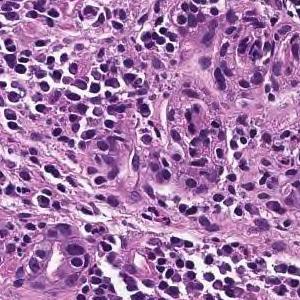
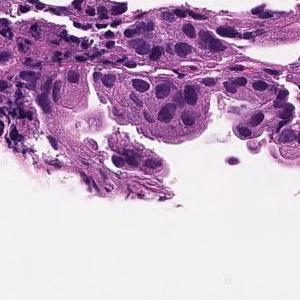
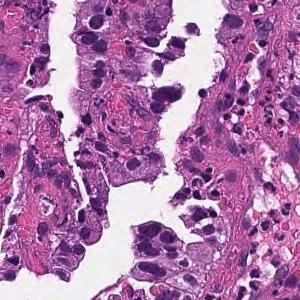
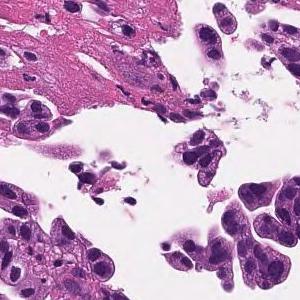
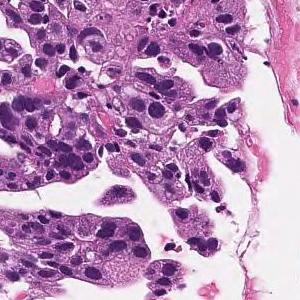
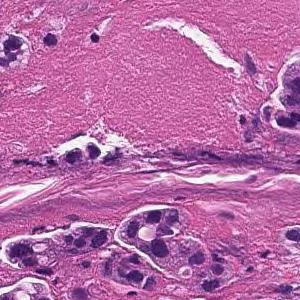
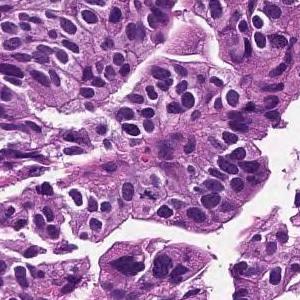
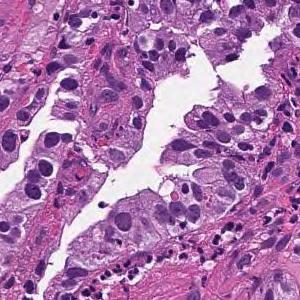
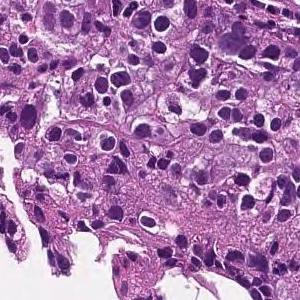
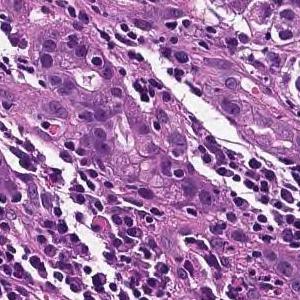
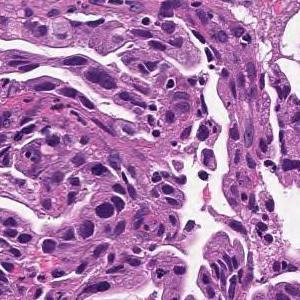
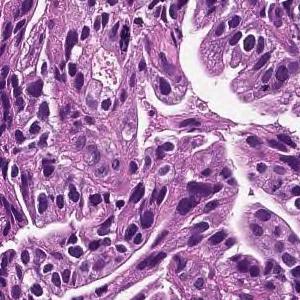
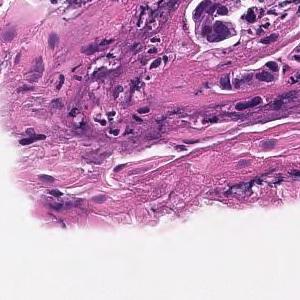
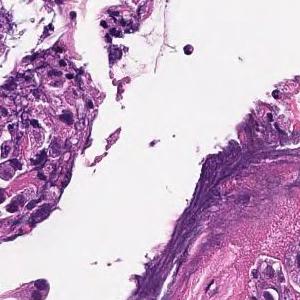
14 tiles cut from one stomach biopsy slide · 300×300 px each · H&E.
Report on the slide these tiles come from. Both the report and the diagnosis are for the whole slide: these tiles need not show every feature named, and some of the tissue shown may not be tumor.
Medium to small, irregular glandular ducts are formed in the superficial epithelium, and in some cases, the glandular ducts are fused to show solid alveolar lesions and infiltrating tumor tissue is observed. Moderately to poorly differentiated adenocarcinoma.
